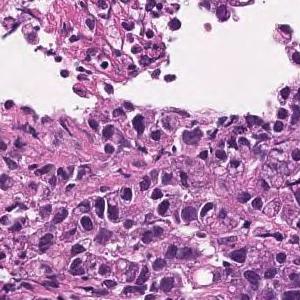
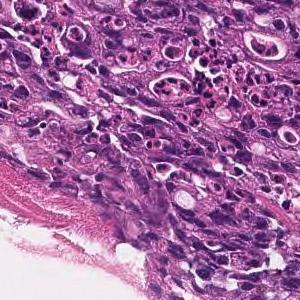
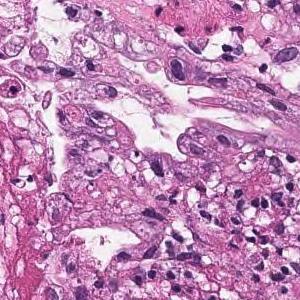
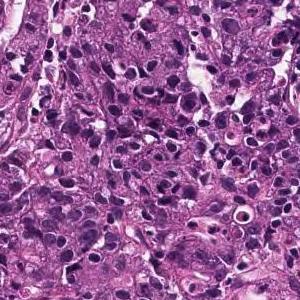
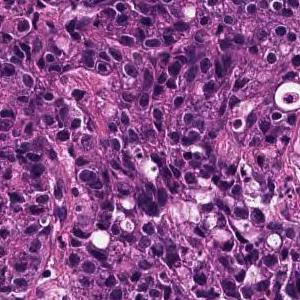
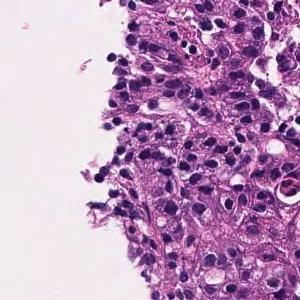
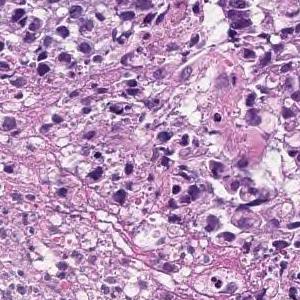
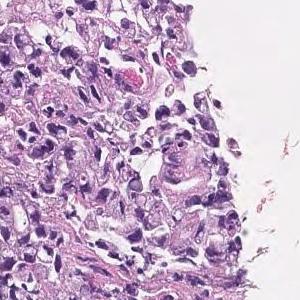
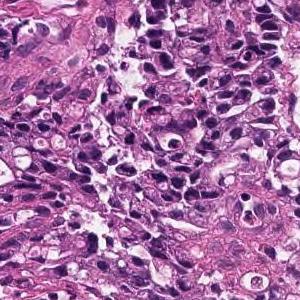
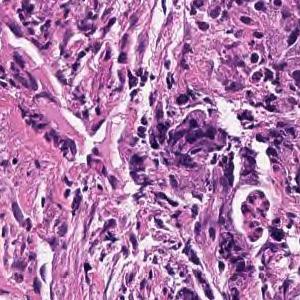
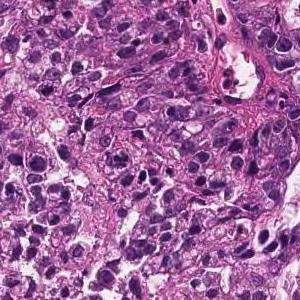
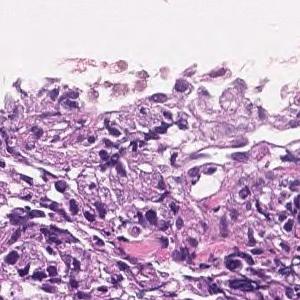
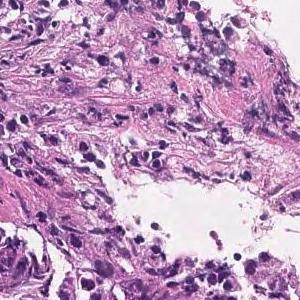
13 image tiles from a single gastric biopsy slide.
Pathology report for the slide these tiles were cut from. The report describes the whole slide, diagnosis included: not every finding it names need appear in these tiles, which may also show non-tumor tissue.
Medium to small, irregular glandular ducts are formed in the superficial epithelium, and in some cases, the glandular ducts are fused to show solid alveolar lesions and infiltrating tumor tissue is observed. Moderately to poorly differentiated adenocarcinoma.
